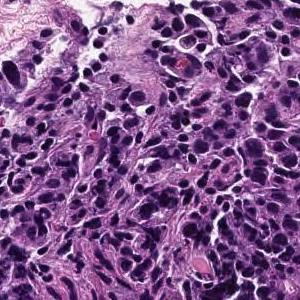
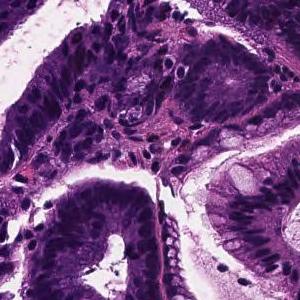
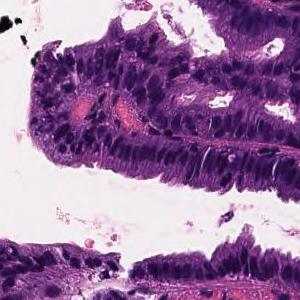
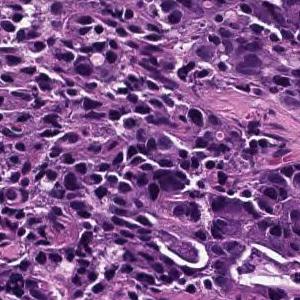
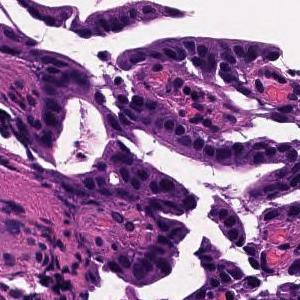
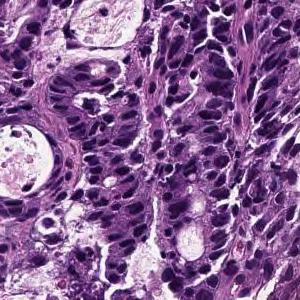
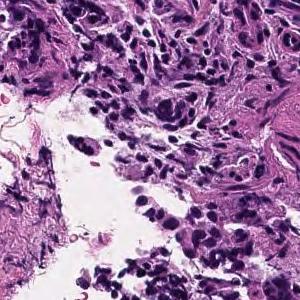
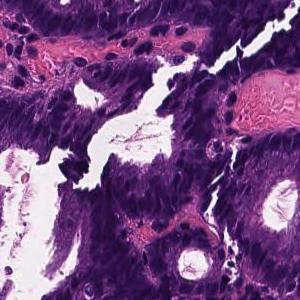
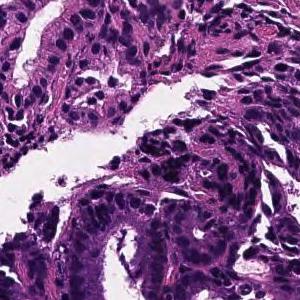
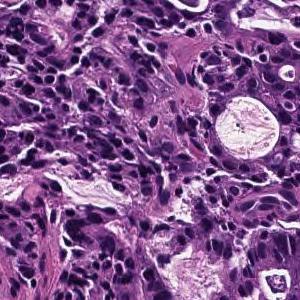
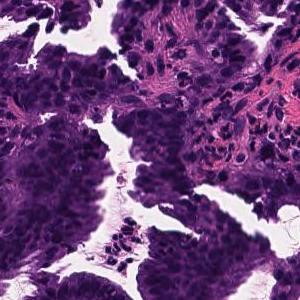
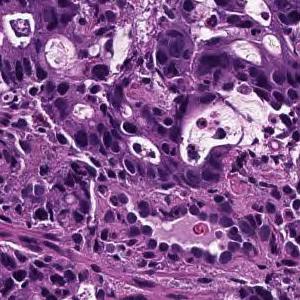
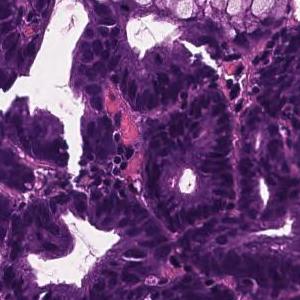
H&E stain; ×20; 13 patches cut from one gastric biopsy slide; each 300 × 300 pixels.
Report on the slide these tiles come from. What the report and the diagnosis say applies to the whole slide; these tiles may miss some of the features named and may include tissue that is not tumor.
In the superficial epithelium, tumor tissue that invades by forming medium-sized to small, irregular ducts is observed. moderately differentiated tubular adenocarcinoma.
